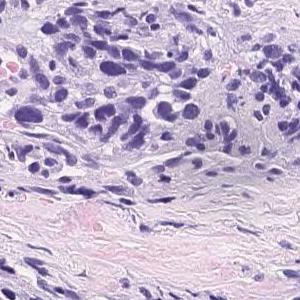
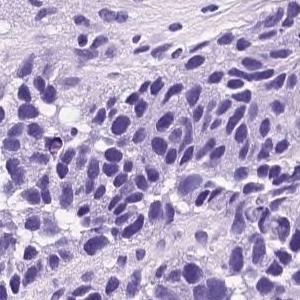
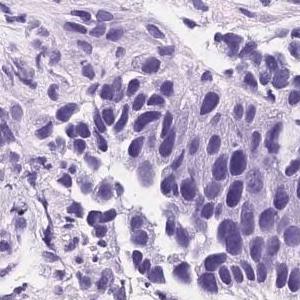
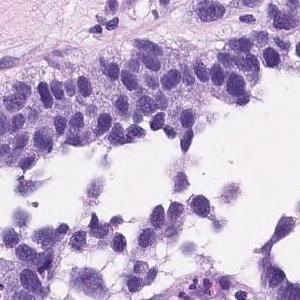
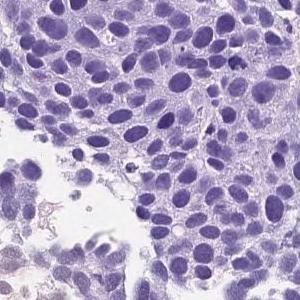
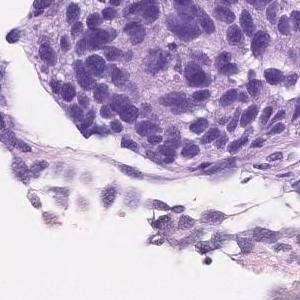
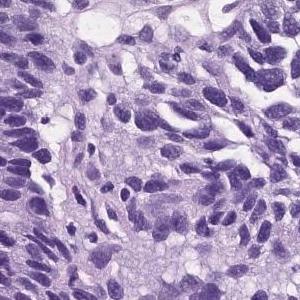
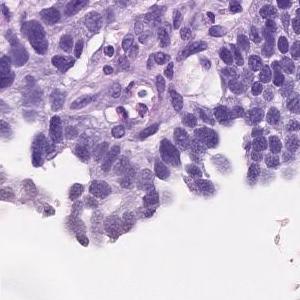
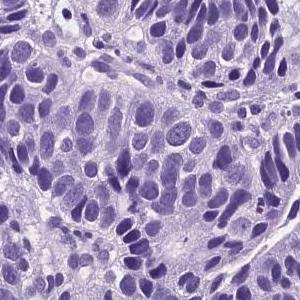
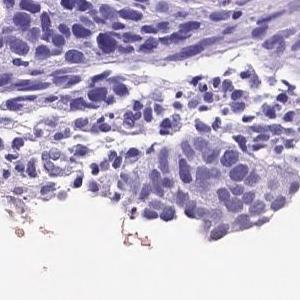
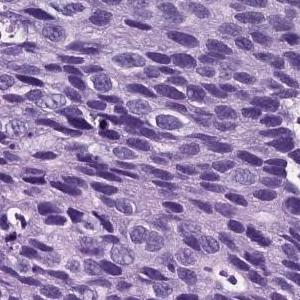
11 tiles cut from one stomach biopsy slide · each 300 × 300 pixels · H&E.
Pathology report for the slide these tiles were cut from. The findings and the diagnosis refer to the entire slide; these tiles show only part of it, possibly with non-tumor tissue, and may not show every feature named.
Atypical cells with atypical nuclei forming small irregular atypical ducts and growing in a conformative manner. moderately differentiated tubular adenocarcinoma
Labeled in the dataset as moderately to poorly differentiated adenocarcinoma.
